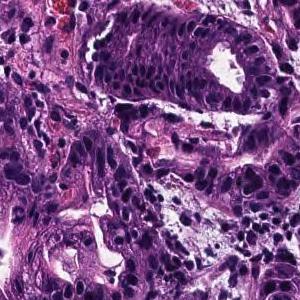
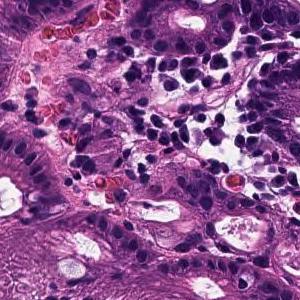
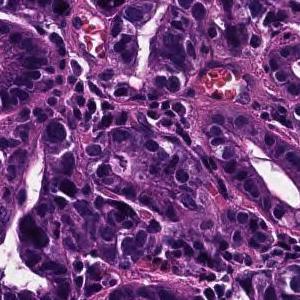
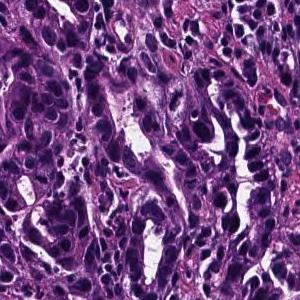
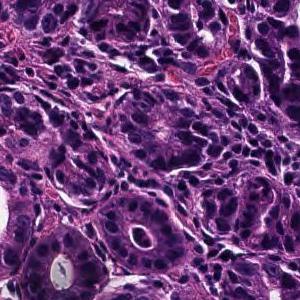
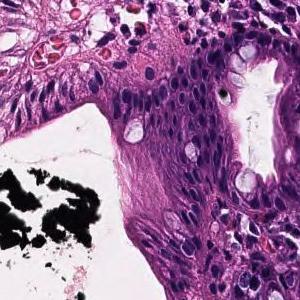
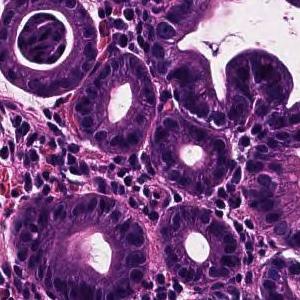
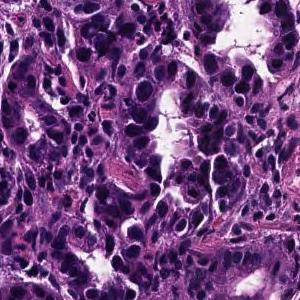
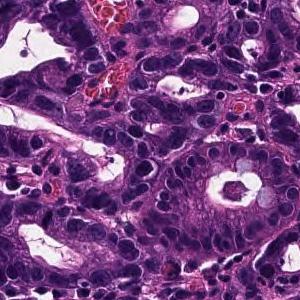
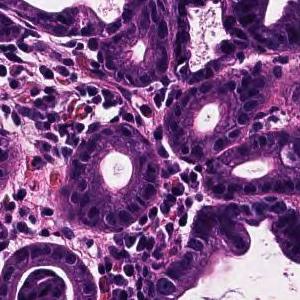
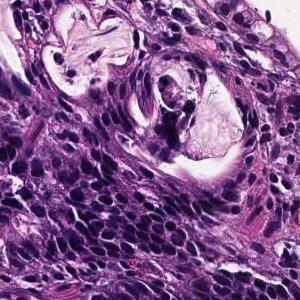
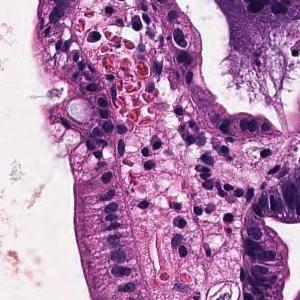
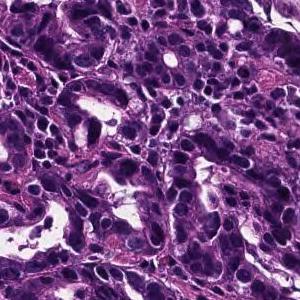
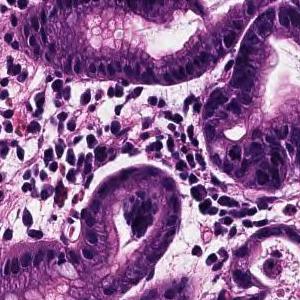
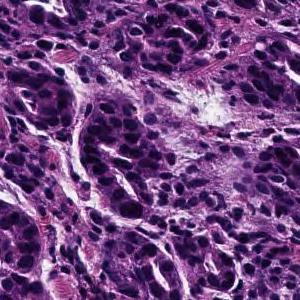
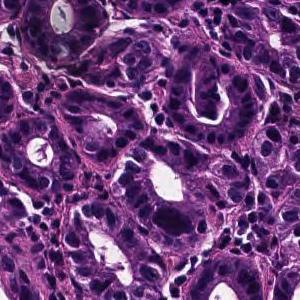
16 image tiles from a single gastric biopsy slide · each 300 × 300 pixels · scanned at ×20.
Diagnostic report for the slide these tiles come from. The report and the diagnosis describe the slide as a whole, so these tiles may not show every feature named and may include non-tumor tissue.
On the superficial epithelium, tumor tissue consisting of proliferative images of medium-sized to small-sized round or irregular glandular ducts is observed. Well differentiated tubular adenocarcinoma
